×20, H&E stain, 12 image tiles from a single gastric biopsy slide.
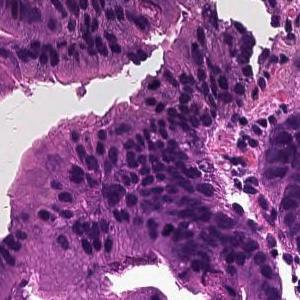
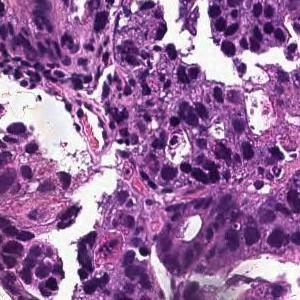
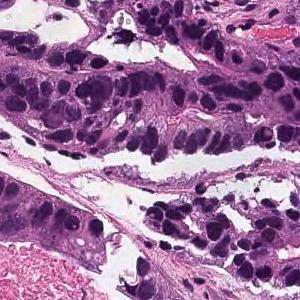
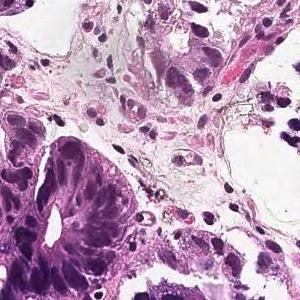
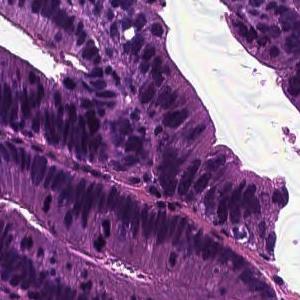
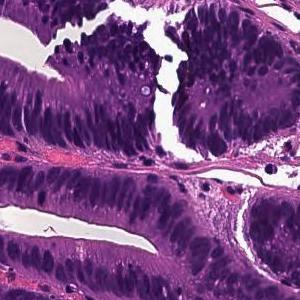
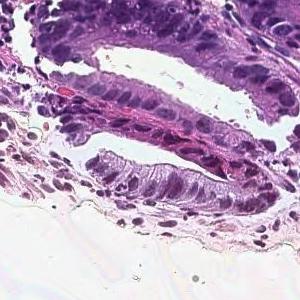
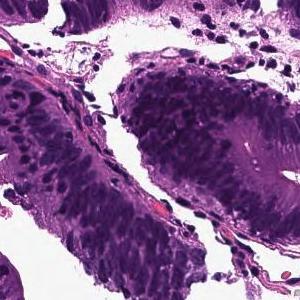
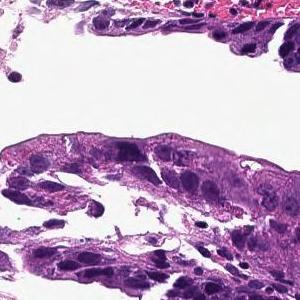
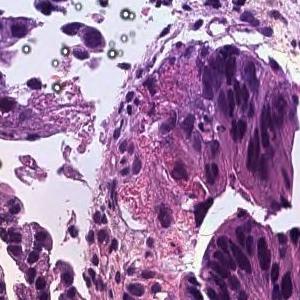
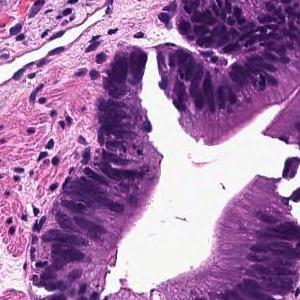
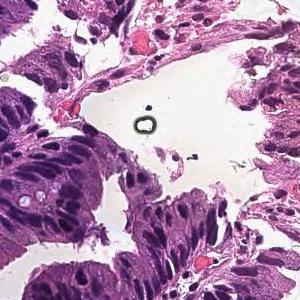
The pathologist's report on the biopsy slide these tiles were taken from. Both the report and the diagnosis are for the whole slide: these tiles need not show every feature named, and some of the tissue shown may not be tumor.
In the superficial epithelium, tumor tissue that invades by forming medium-sized to small, irregular ducts is observed. moderately differentiated tubular adenocarcinoma.
